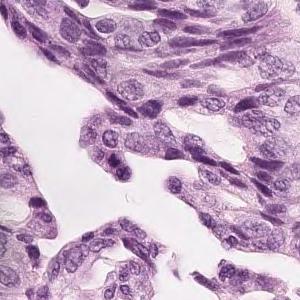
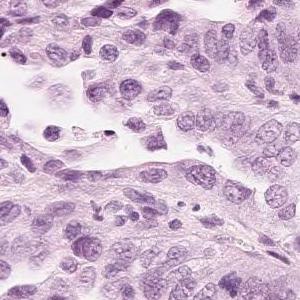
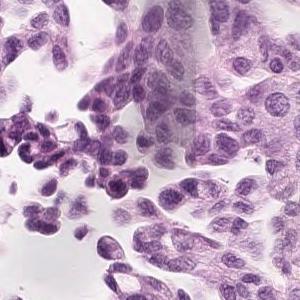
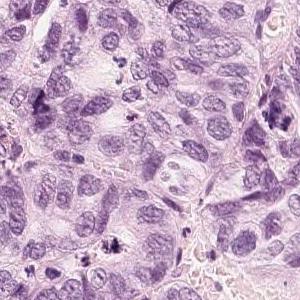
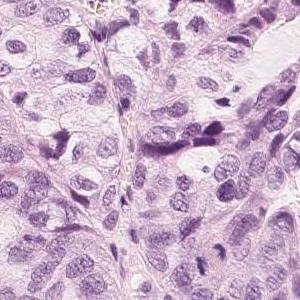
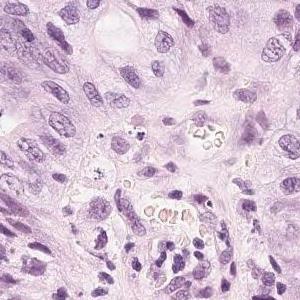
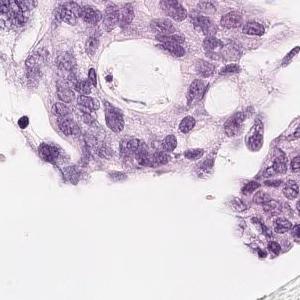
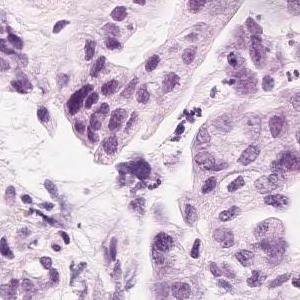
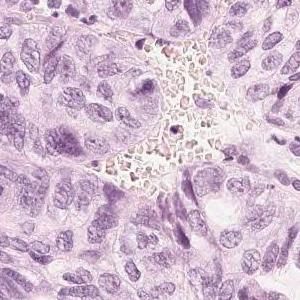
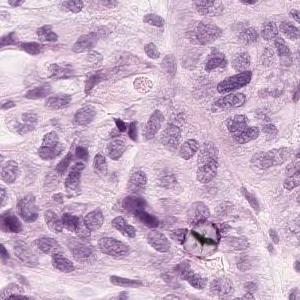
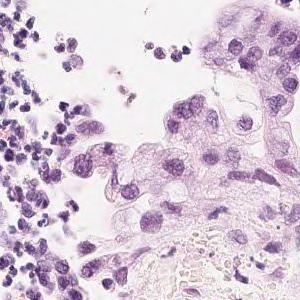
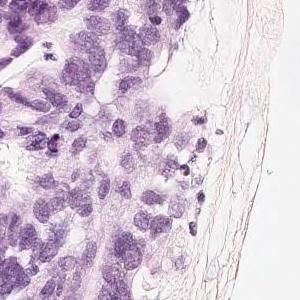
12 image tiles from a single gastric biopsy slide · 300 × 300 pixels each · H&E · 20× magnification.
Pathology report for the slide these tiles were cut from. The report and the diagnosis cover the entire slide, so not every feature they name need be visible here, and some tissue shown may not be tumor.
Tumor tissue in which medium-sized atypical epithelial cells with a large N/C ratio grow densely while becoming alveolar to cord-like with duct formation is observed. moderately differentiated tubular adenocarcinoma
